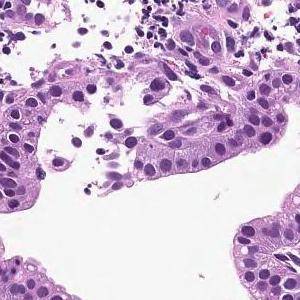
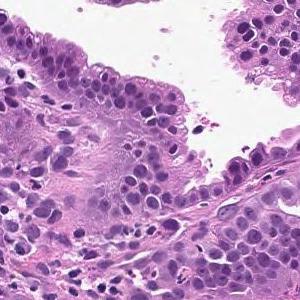
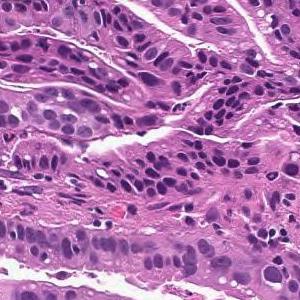
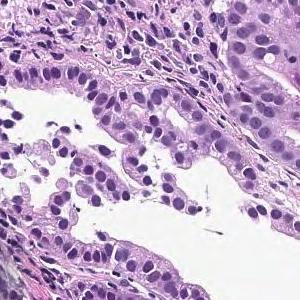
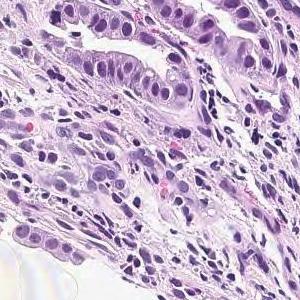
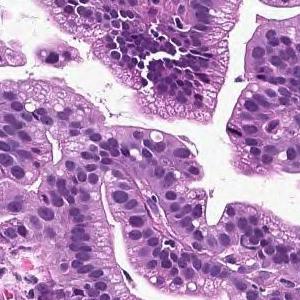
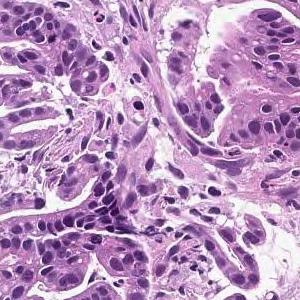
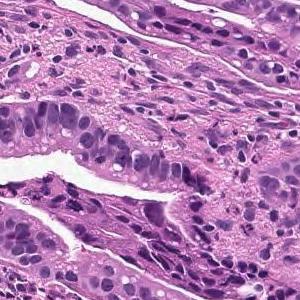
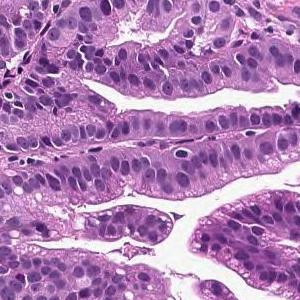
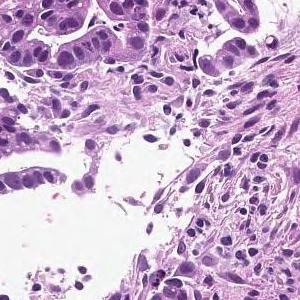
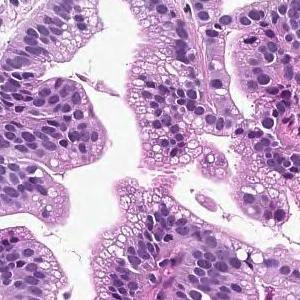
11 tiles cut from one stomach biopsy slide, 300 × 300 pixels each, H&E, scanned at ×20.
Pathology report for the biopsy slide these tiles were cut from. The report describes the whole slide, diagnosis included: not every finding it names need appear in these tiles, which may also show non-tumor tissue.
On the superficial epithelium, tumor tissue that infiltrates by forming medium-sized papillary or small irregular ducts is observed. Papillary adenocarcinoma
